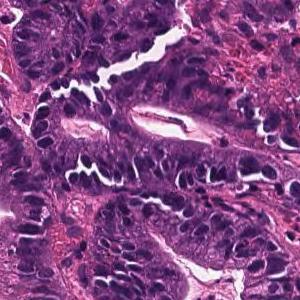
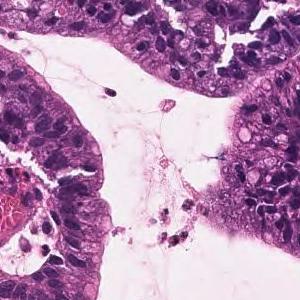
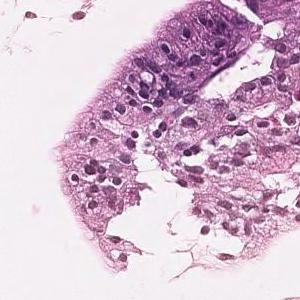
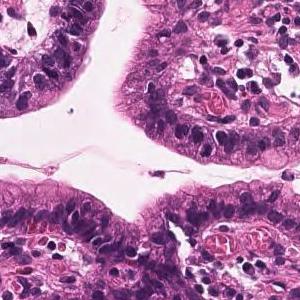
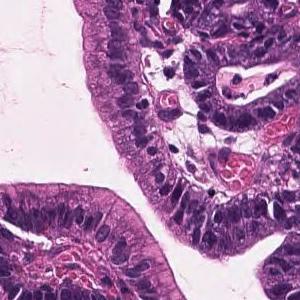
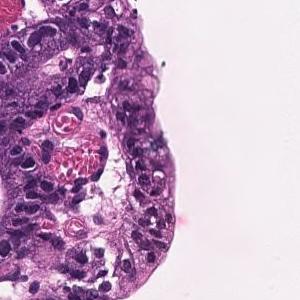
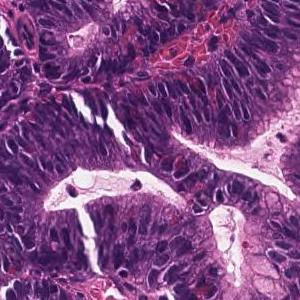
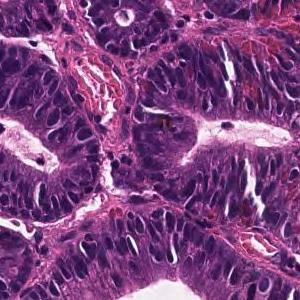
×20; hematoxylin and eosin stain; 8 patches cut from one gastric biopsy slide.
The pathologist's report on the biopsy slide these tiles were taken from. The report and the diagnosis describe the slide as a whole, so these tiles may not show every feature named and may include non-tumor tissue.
On the superficial epithelium, tumor tissue that infiltrates by forming medium-sized papillary or small irregular ducts is observed. Papillary adenocarcinoma
